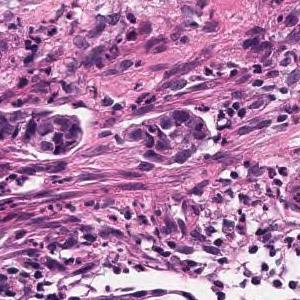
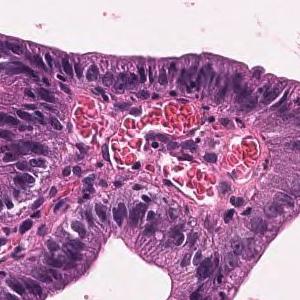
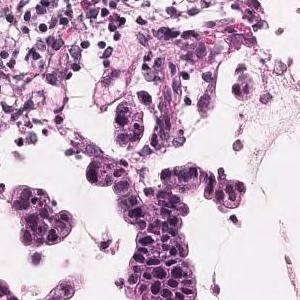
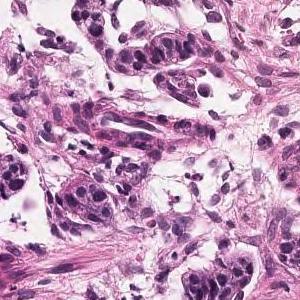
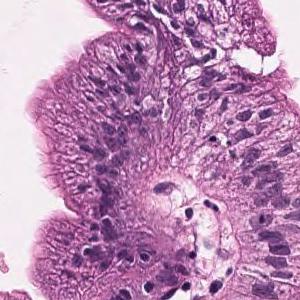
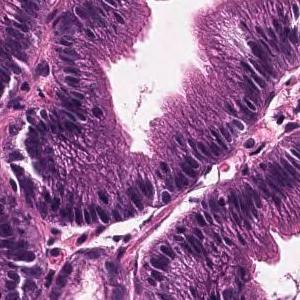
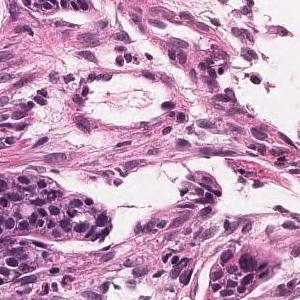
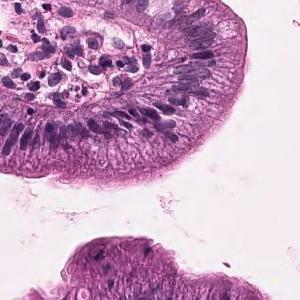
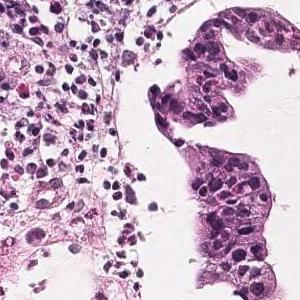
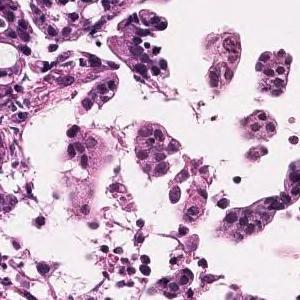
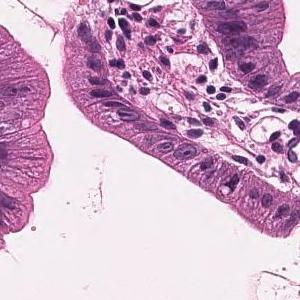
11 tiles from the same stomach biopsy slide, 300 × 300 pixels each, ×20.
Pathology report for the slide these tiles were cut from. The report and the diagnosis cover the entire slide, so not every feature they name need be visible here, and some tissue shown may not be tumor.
Tumor tissue that grows invasively while the short atypical epithelium forms small ducts is observed. moderately differentiated tubular adenocarcinoma
